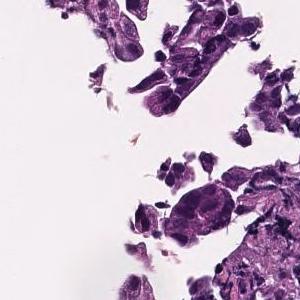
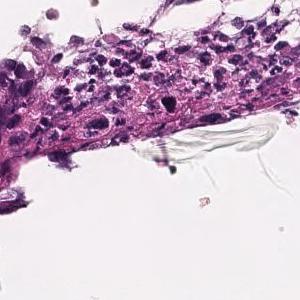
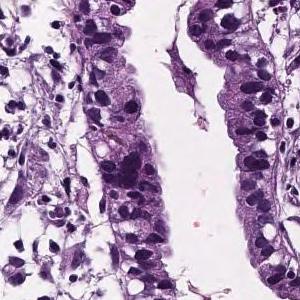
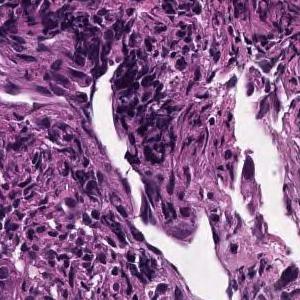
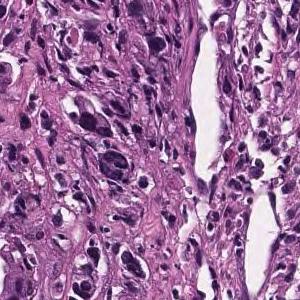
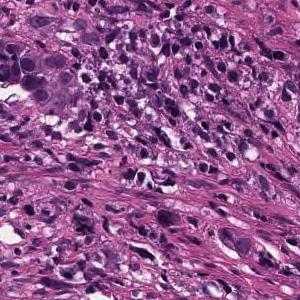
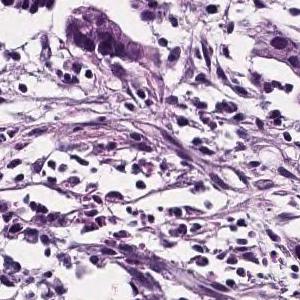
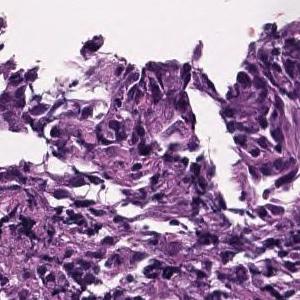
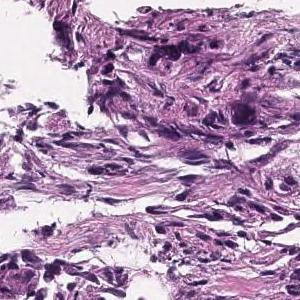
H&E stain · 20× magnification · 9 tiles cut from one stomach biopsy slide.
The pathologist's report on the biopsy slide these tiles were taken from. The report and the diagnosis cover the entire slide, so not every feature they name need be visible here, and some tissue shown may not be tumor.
In the superficial epithelium, tumor tissue that invades by forming medium-sized to small, irregular ducts is observed. moderately differentiated tubular adenocarcinoma.
